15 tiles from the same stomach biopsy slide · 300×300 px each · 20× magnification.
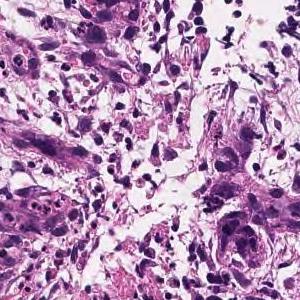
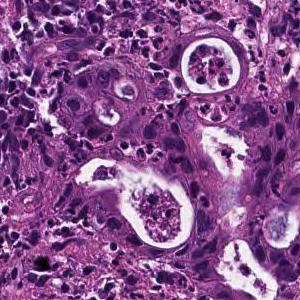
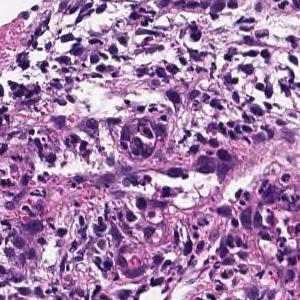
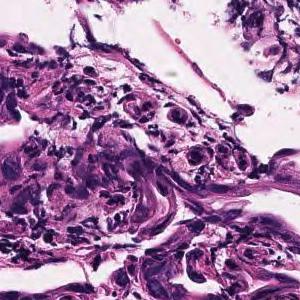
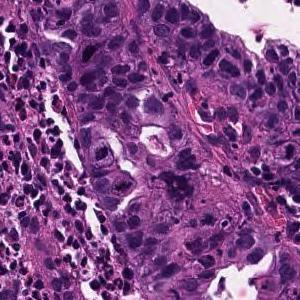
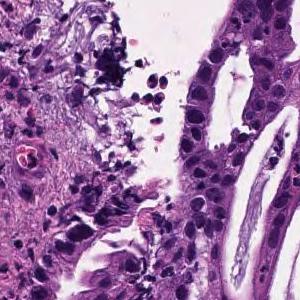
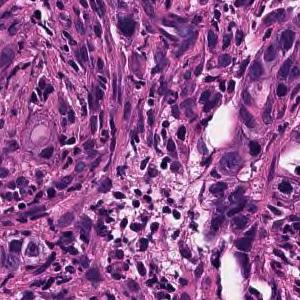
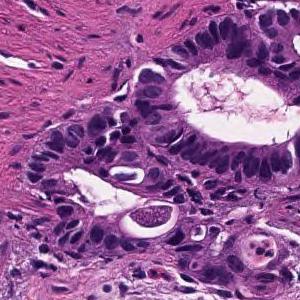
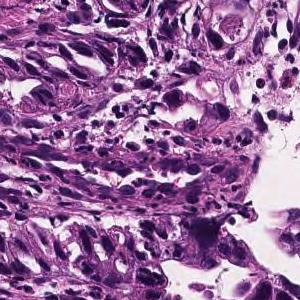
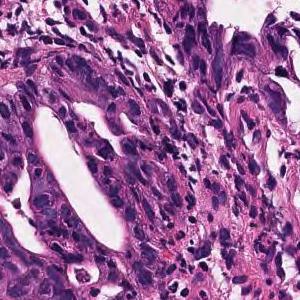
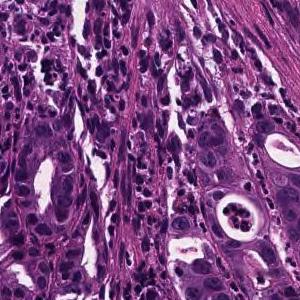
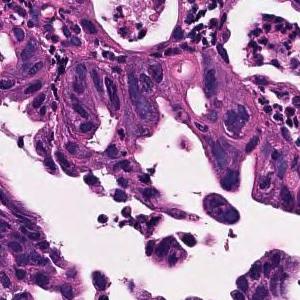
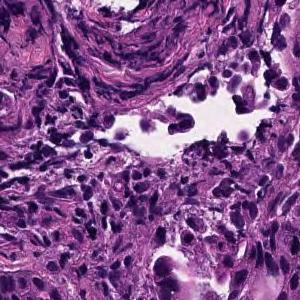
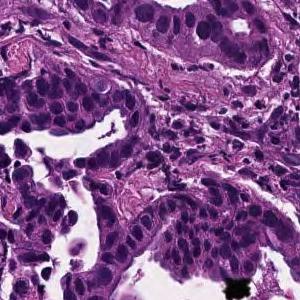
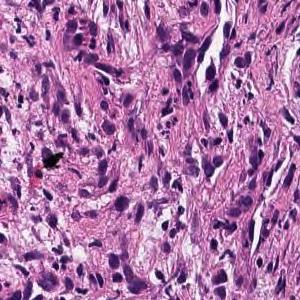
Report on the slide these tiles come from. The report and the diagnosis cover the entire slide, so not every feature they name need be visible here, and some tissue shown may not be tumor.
In the superficial epithelium, medium-sized to small irregular glandular ducts are formed, and in some cases, the glandular ducts are fused or small cord-like infiltrating tumor tissue is observed. moderately differentiated tubular adenocarcinoma
